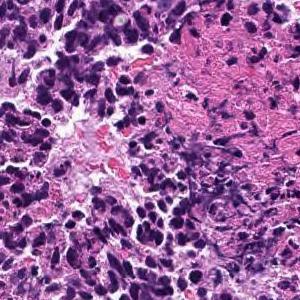
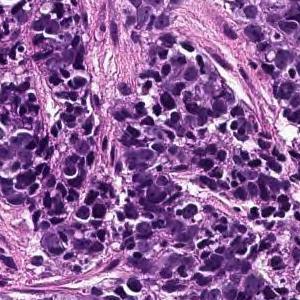
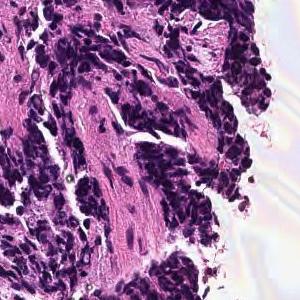
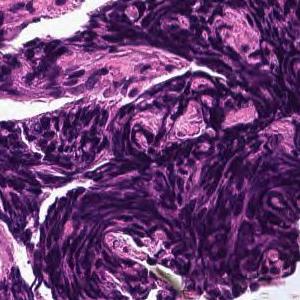
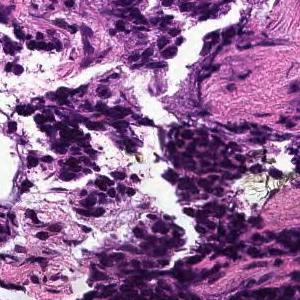
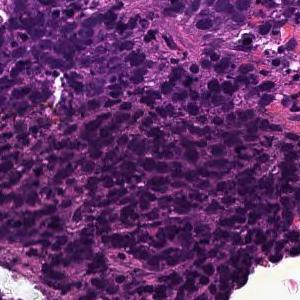
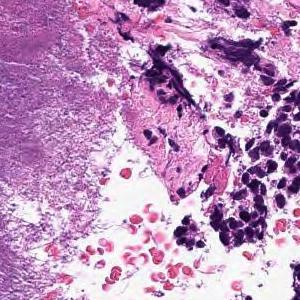
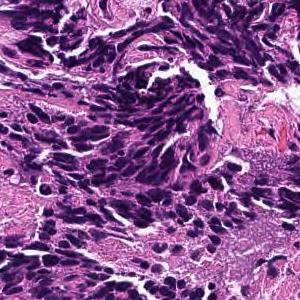
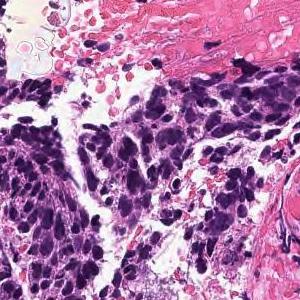
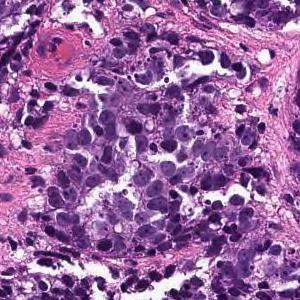
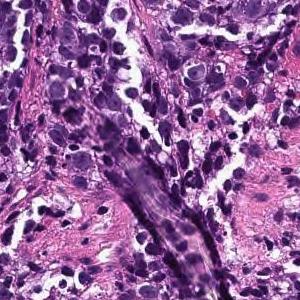
Hematoxylin and eosin stain, 11 tiles from the same stomach biopsy slide, 300×300 px each.
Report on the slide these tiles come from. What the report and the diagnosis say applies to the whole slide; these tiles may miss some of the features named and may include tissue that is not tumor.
The superficial epithelium shows a large sheet or alveolar shape, and tumor tissue infiltrating without irregular ducts is observed. Poorly differentiated adenocarcinoma, solid-type
Subtype: Poorly differentiated adenocarcinoma, solid type. This name comes from the Japanese Classification of Gastric Carcinoma; the WHO 2019 classification calls it tubular adenocarcinoma, poorly differentiated.
